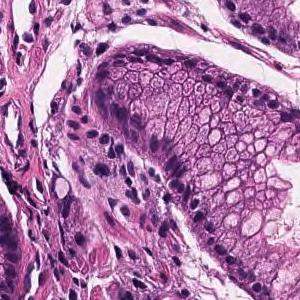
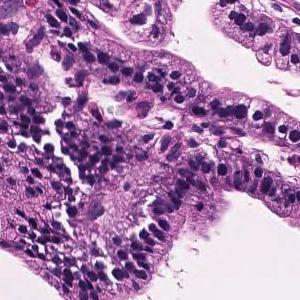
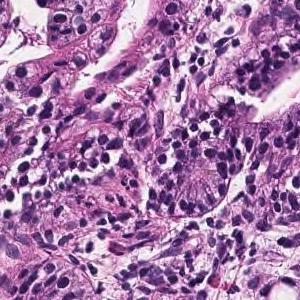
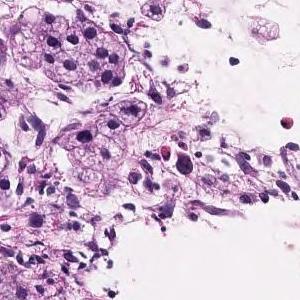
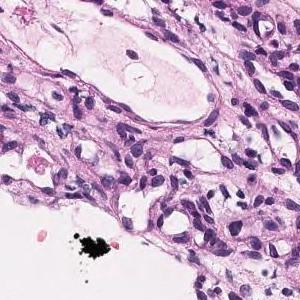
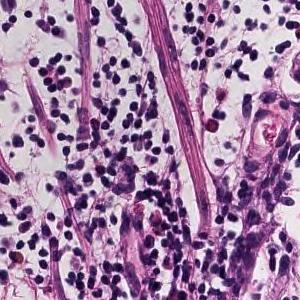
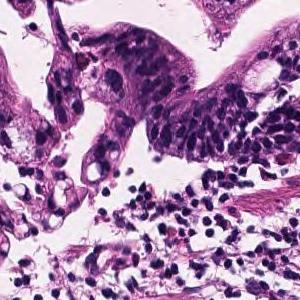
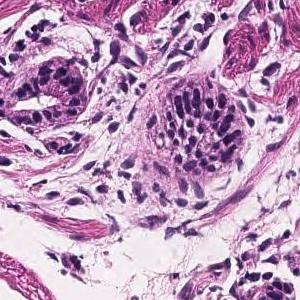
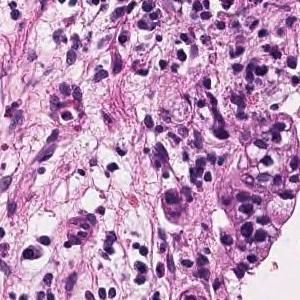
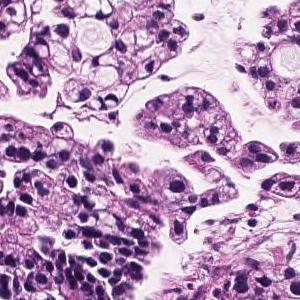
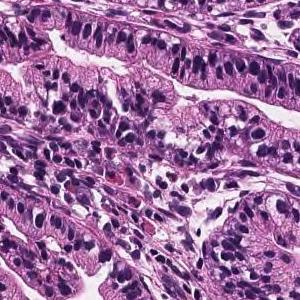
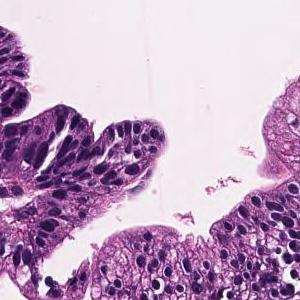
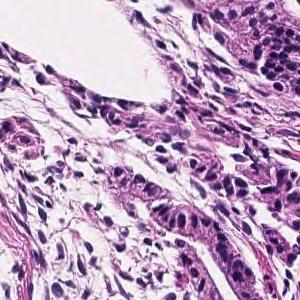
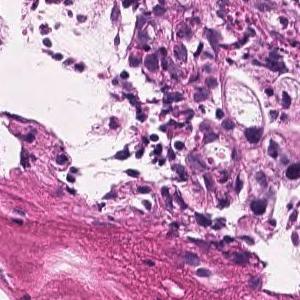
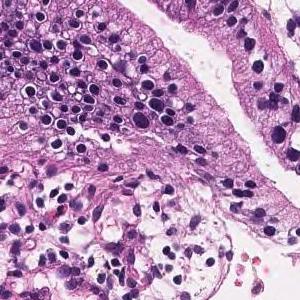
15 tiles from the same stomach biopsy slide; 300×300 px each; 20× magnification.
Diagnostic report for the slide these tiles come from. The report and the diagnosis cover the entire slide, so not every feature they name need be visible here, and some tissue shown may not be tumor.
Tumor tissue consisting of large papillary structures or irregular glandular ducts partially fused and infiltrated is observed in the superficial epithelium. Well to moderately differentiated tubular adenocarcinoma.
The dataset labels this slide moderately differentiated tubular adenocarcinoma.
